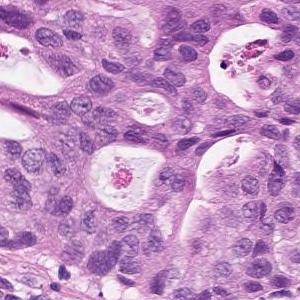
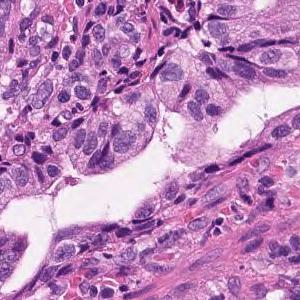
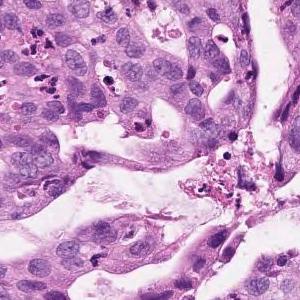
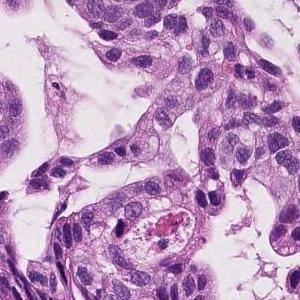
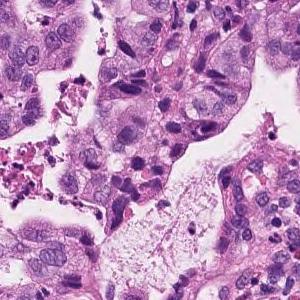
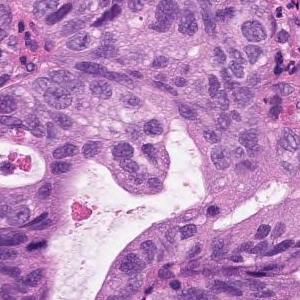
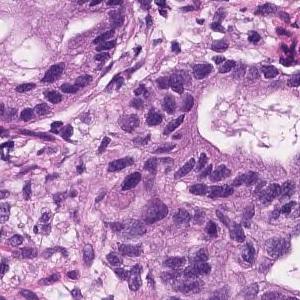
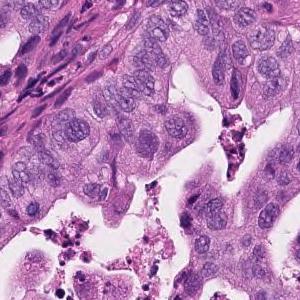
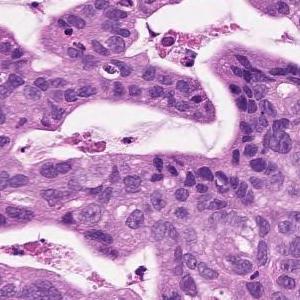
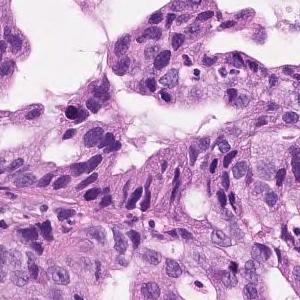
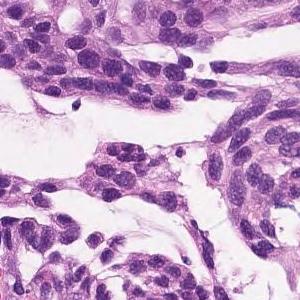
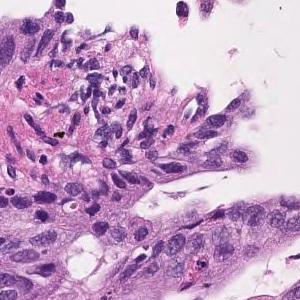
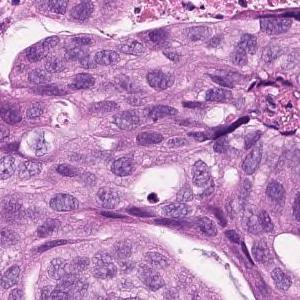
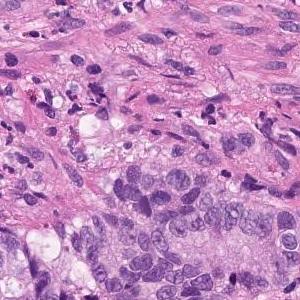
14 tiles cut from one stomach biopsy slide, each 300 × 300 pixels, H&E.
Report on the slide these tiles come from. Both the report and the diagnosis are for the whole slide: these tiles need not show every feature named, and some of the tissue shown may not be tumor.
Atypical epithelium forming papillary or sieving ducts and infiltrating growth is observed. Papillary adenocarcinoma.
